Hematoxylin and eosin stain · scanned at ×20 · 10 tiles from the same stomach biopsy slide.
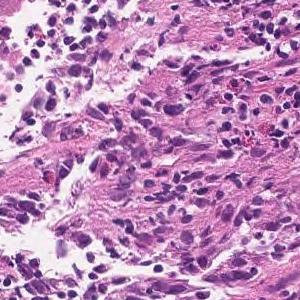
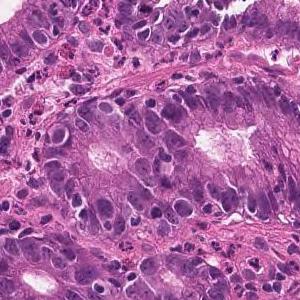
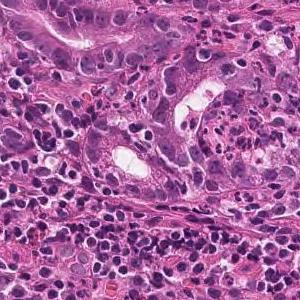
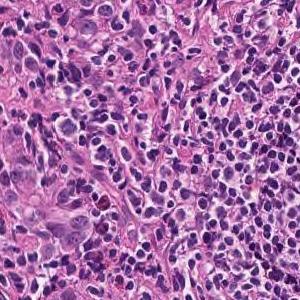
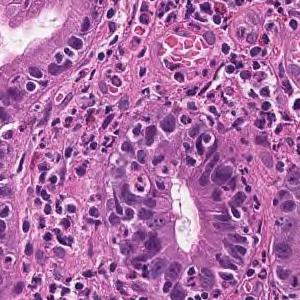
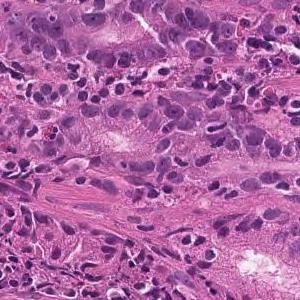
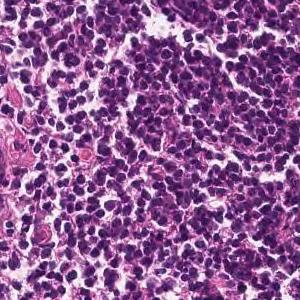
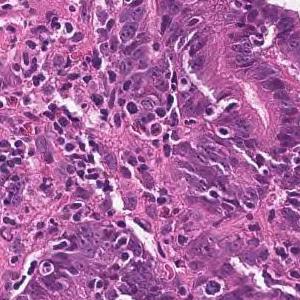
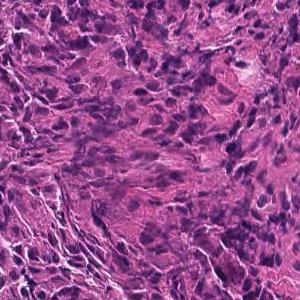
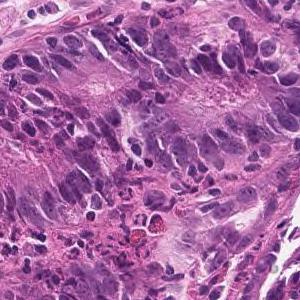
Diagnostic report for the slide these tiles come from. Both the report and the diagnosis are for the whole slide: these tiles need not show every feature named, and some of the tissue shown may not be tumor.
Tumor tissue consisting of medium-sized, cord-like or irregular glandular infiltration is observed in the superficial epithelium. Poorly differentiated adenocarcinoma, non-solid type or moderately differentiated tubular adenocarcinoma
Labeled in the dataset as poorly differentiated adenocarcinoma, non-solid type.
"Non-solid type" is a category of the Japanese Classification of Gastric Carcinoma.
